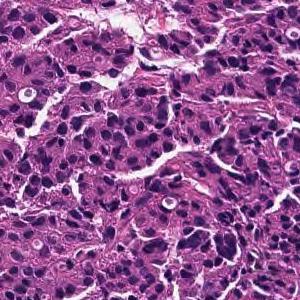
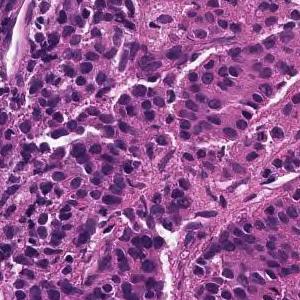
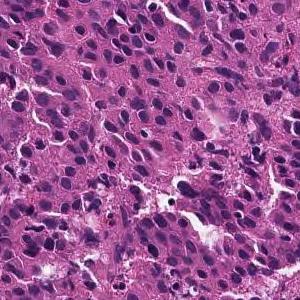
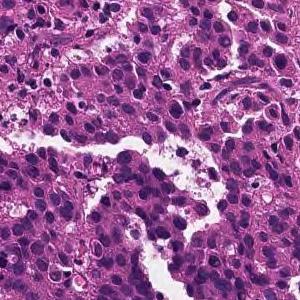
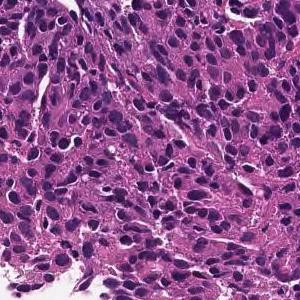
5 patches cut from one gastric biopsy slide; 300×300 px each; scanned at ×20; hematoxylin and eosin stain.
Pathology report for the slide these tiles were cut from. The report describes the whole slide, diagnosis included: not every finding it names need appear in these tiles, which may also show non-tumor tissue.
The superficial epithelium shows a large sheet-like shape, and some tumor tissue infiltrates with small irregular ducts. Poorly differentiated adenocarcinoma, solid-type
Tumor subtype: poorly differentiated adenocarcinoma, solid type, a category of the Japanese Classification of Gastric Carcinoma; in the WHO 2019 classification it is tubular adenocarcinoma, poorly differentiated.
